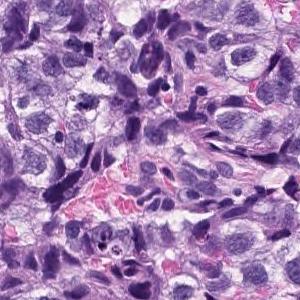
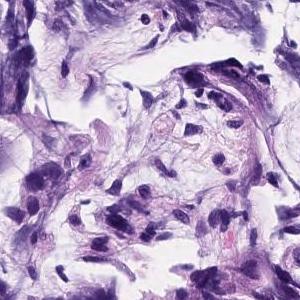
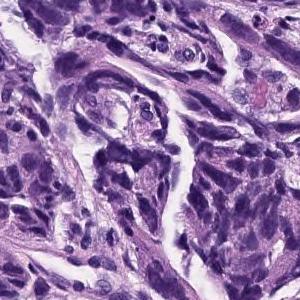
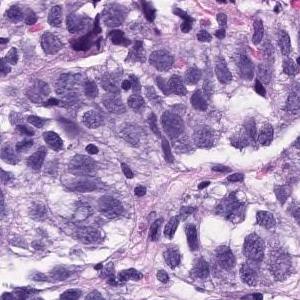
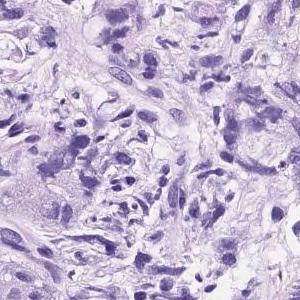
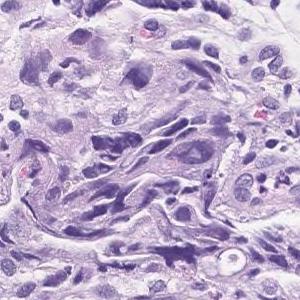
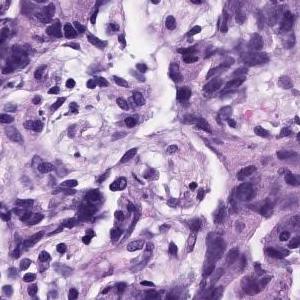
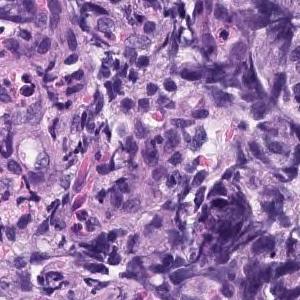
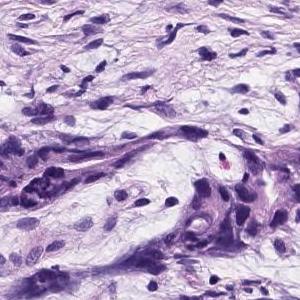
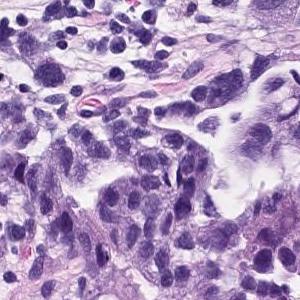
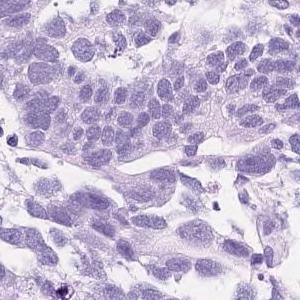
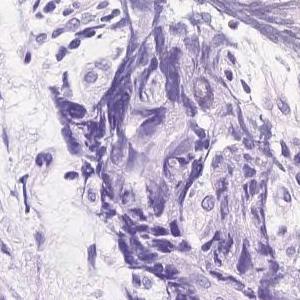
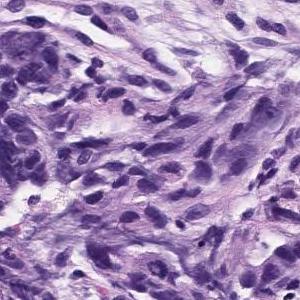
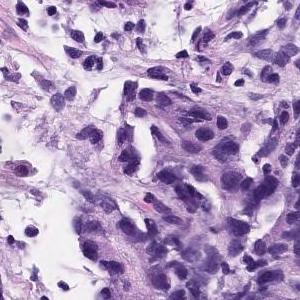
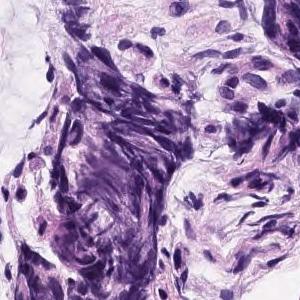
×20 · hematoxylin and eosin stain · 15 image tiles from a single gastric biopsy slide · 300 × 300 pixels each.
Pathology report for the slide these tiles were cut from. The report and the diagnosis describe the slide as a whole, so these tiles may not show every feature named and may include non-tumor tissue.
Atypical epithelial cells with an increased N/C ratio proliferate and consist of a part that shows the formation of gland ducts and a part that shows solid growth. Poorly differentiated adenocarcinoma, solid-type
Tumor subtype: poorly differentiated adenocarcinoma, solid type (Japanese Classification of Gastric Carcinoma). The WHO 2019 equivalent is tubular adenocarcinoma, poorly differentiated.
